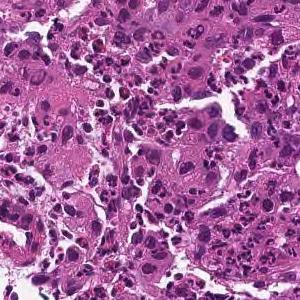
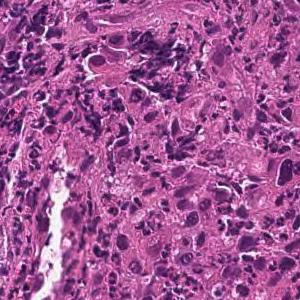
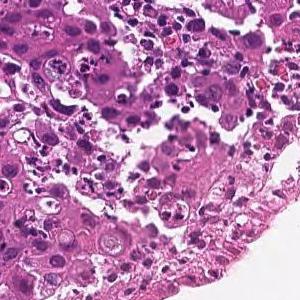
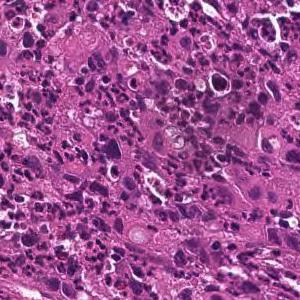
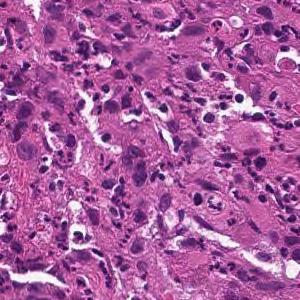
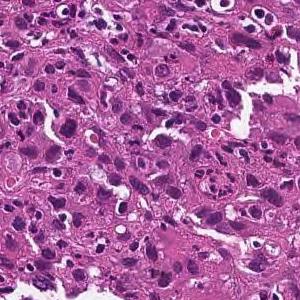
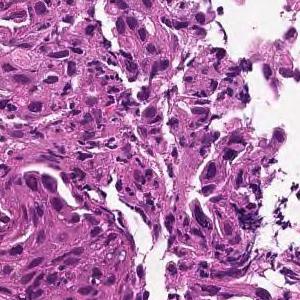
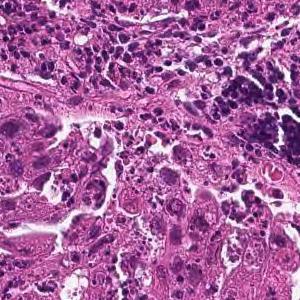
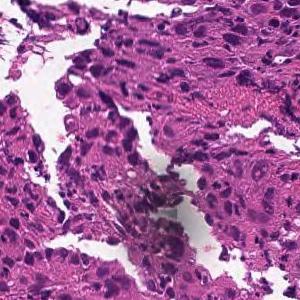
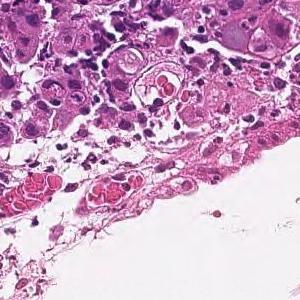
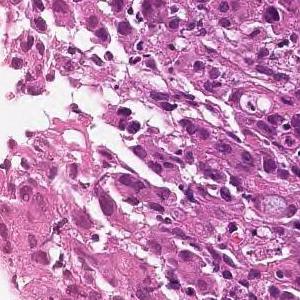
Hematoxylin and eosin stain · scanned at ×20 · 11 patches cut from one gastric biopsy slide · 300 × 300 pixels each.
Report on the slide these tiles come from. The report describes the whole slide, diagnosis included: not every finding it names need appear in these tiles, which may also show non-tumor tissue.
The superficial epithelium shows a large sheet-like shape, and some tumor tissue infiltrates with small irregular ducts. Poorly differentiated adenocarcinoma, solid-type
Tumor subtype: poorly differentiated adenocarcinoma, solid type, a category of the Japanese Classification of Gastric Carcinoma; in the WHO 2019 classification it is tubular adenocarcinoma, poorly differentiated.
